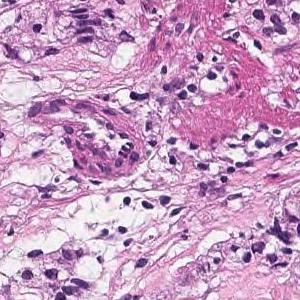
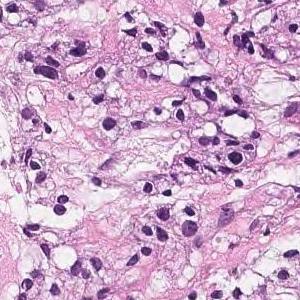
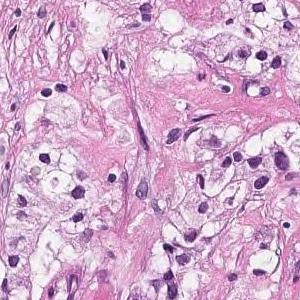
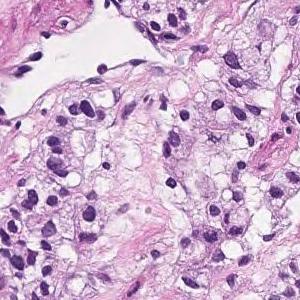
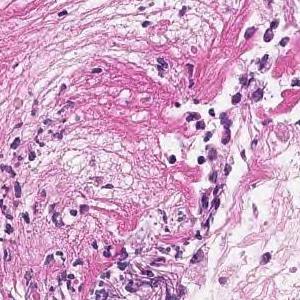
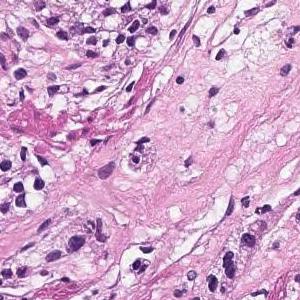
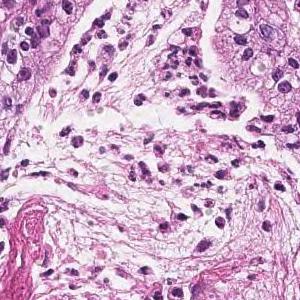
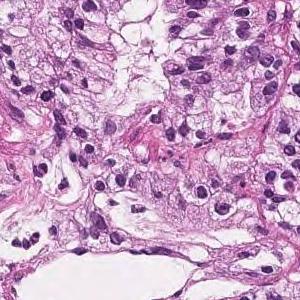
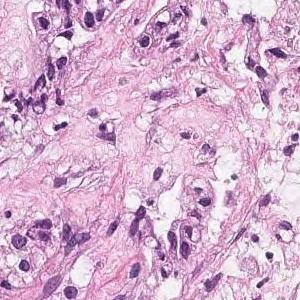
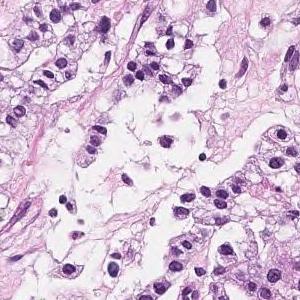
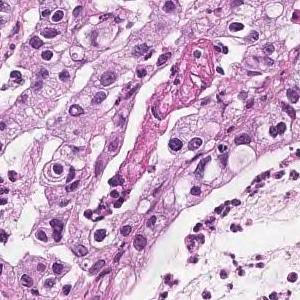
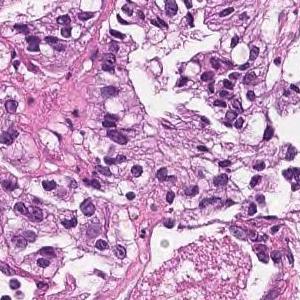
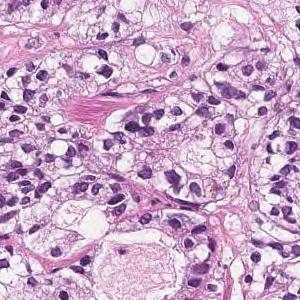
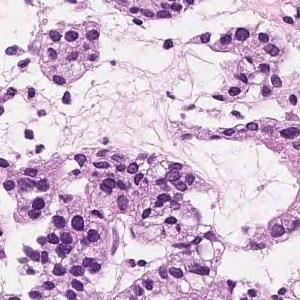
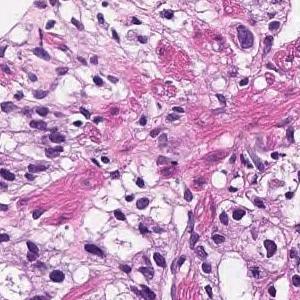
15 tiles cut from one stomach biopsy slide, H&E stain, scanned at ×20.
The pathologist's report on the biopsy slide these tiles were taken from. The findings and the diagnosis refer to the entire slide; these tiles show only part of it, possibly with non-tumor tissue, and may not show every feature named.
In the superficial epithelium, tumor tissue that invades by forming medium-sized to small, irregular ducts is observed. moderately differentiated tubular adenocarcinoma.
